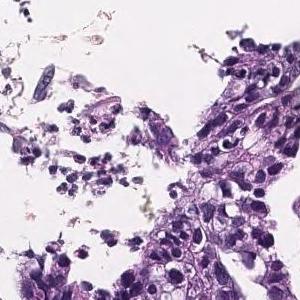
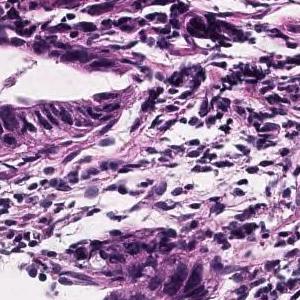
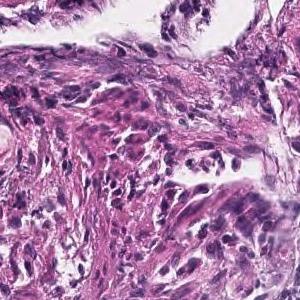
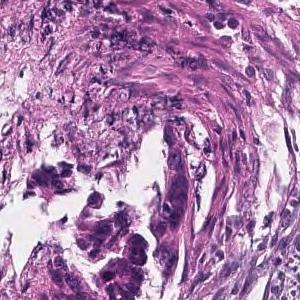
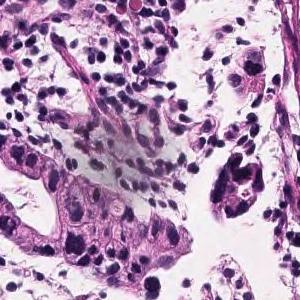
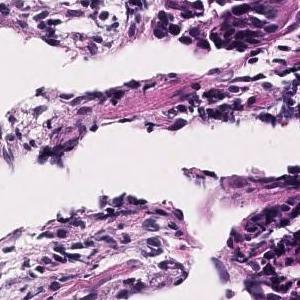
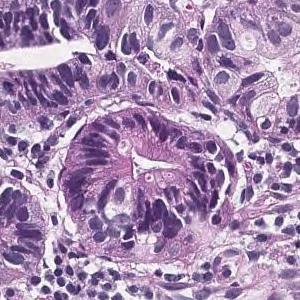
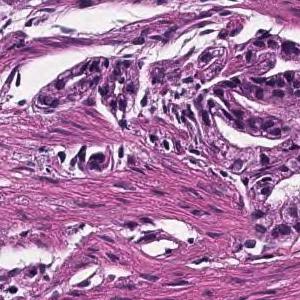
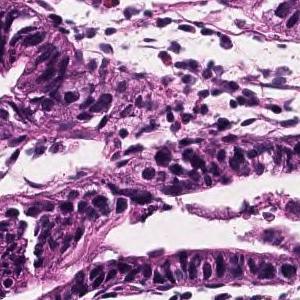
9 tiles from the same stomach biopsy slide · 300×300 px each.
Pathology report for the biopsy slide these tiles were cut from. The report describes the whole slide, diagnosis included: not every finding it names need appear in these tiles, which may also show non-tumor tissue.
Tumor cells are large, highly columnar, large club-shaped nuclei, and are associated with chromatin aggregation. Papillary adenocarcinoma.
